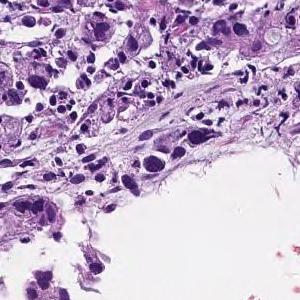
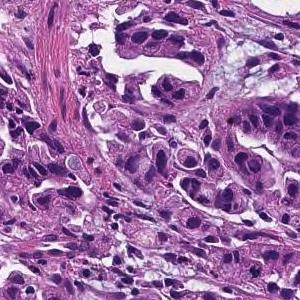
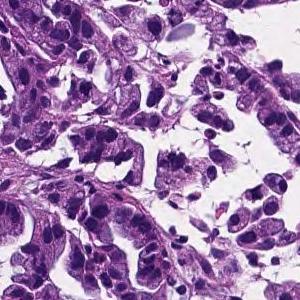
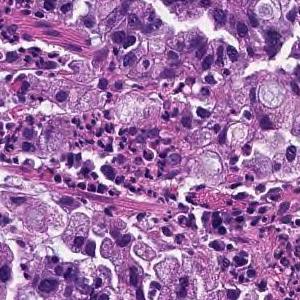
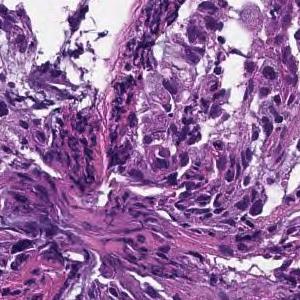
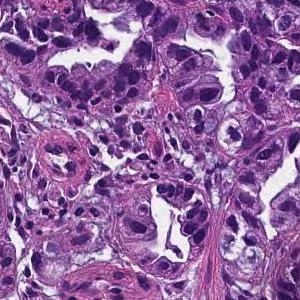
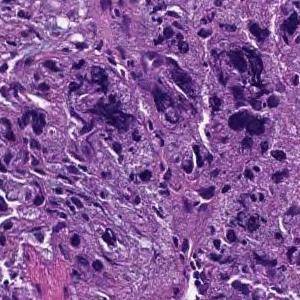
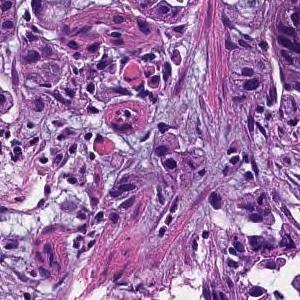
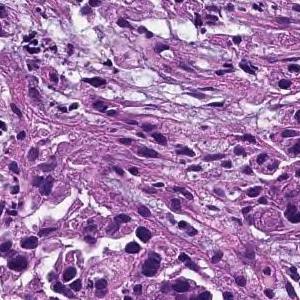
9 image tiles from a single gastric biopsy slide · 300×300 px each · hematoxylin and eosin stain · scanned at ×20.
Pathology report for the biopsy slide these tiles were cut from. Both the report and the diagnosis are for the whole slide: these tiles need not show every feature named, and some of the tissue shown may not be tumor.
Tumor tissue consisting of medium-sized, cord-like or irregular glandular infiltration is observed in the superficial epithelium. Poorly differentiated adenocarcinoma, non-solid type or moderately differentiated tubular adenocarcinoma
Classified as moderately to poorly differentiated adenocarcinoma.
"Non-solid type" is a category of the Japanese Classification of Gastric Carcinoma.
